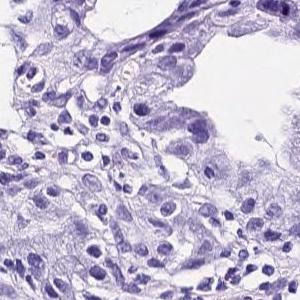
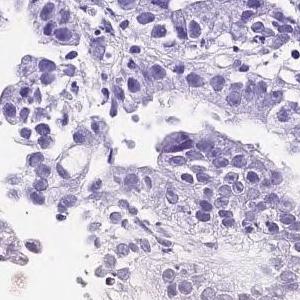
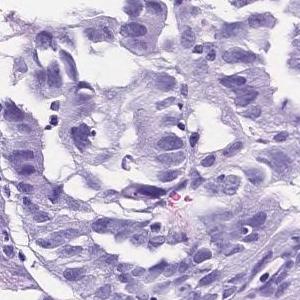
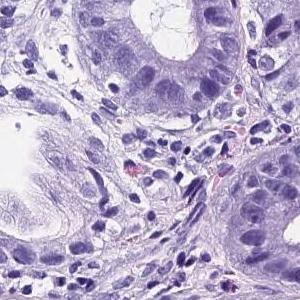
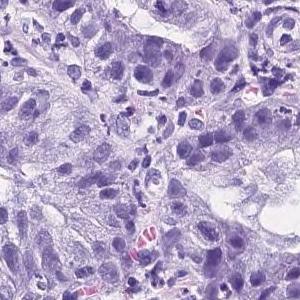
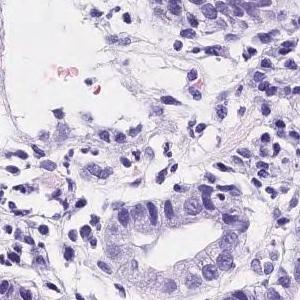
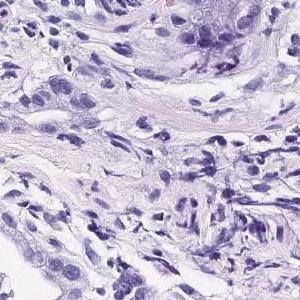
×20, H&E stain, 7 tiles cut from one stomach biopsy slide.
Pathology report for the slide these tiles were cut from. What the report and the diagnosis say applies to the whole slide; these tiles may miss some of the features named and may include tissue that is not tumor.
Tumor tissue consisting of medium-sized and irregular ducts is observed infiltrating in the superficial epithelium. Tumor cells are highly columnar, with nuclei aligned basolaterally and polarized. Well differentiated tubular adenocarcinoma.
